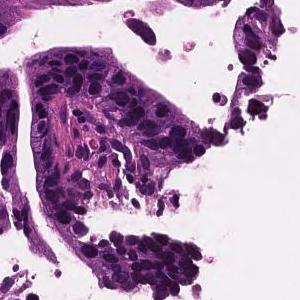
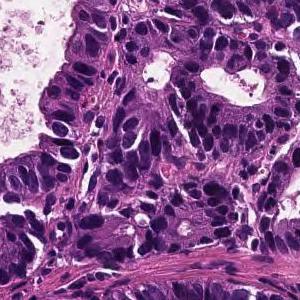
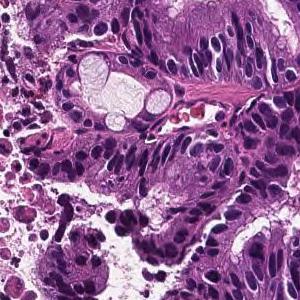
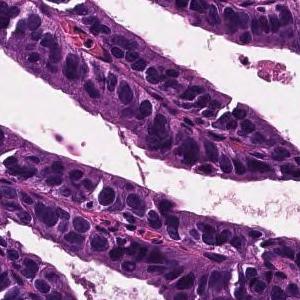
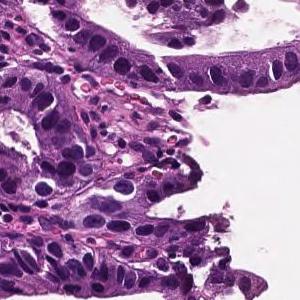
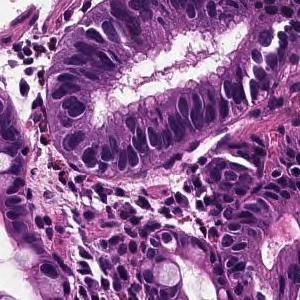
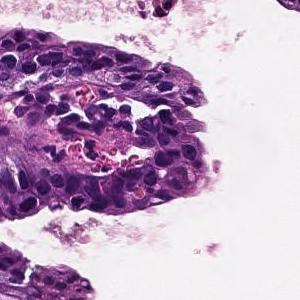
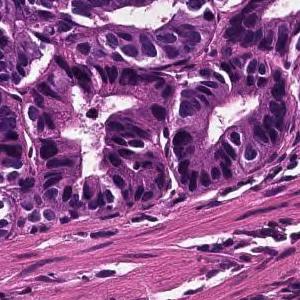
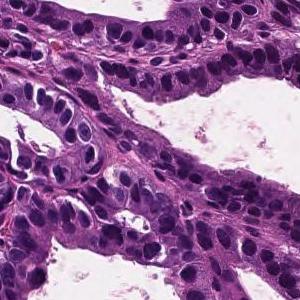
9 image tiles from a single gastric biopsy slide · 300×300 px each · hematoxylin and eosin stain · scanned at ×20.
Report on the slide these tiles come from. Both the report and the diagnosis are for the whole slide: these tiles need not show every feature named, and some of the tissue shown may not be tumor.
From the superficial epithelium to the muscularis mucosae, tumor tissue consisting of medium-sized and irregular glandular ducts infiltrating is observed. Well differentiated tubular adenocarcinoma
